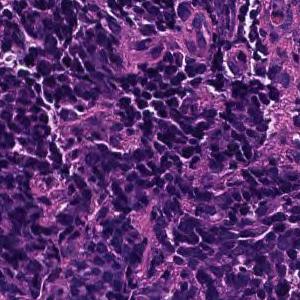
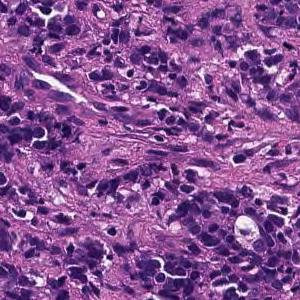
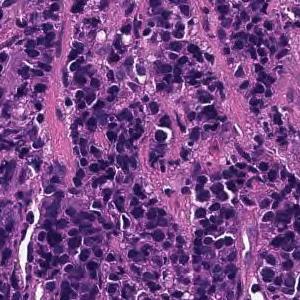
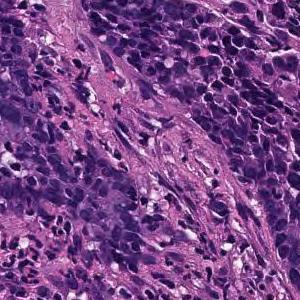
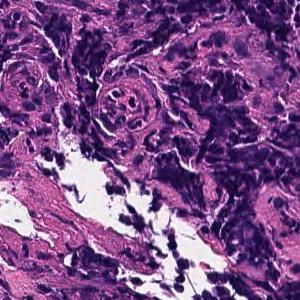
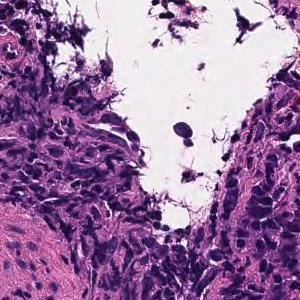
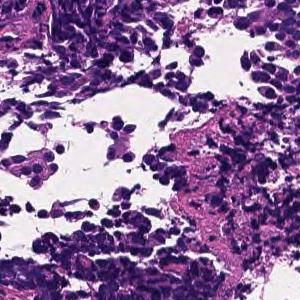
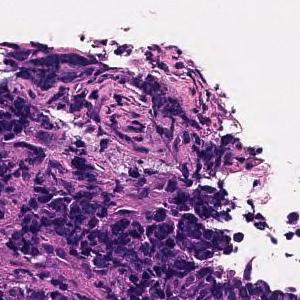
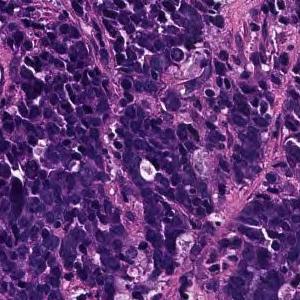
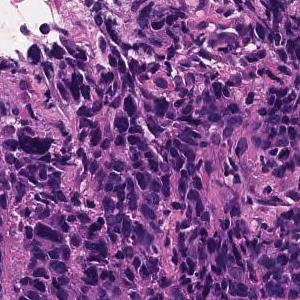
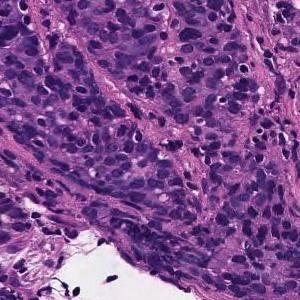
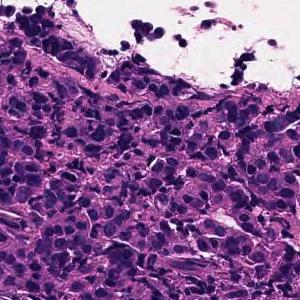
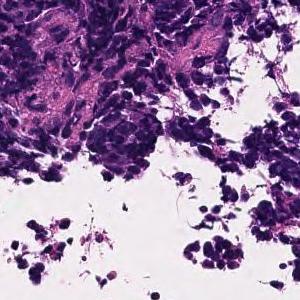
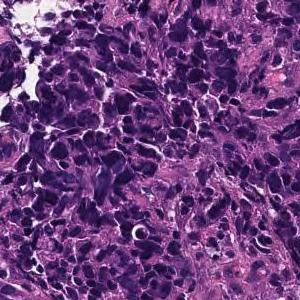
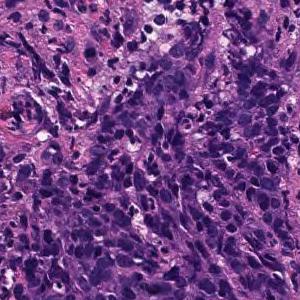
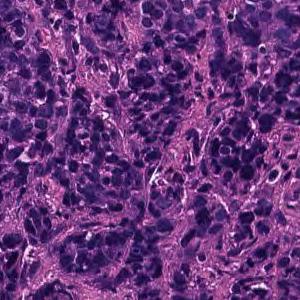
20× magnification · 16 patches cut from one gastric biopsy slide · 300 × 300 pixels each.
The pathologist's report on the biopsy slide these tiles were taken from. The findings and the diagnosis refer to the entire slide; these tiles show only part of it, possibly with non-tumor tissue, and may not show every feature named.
Tumor tissue consisting of cord-like or small, irregular glandular ducts fused and infiltrated is observed in the superficial epithelium. Poorly differentiated adenocarcinoma, non-solid type
"Non-solid type" is a category of the Japanese Classification of Gastric Carcinoma.
